6 image tiles from a single gastric biopsy slide · 300 × 300 pixels each · scanned at ×20 · H&E stain.
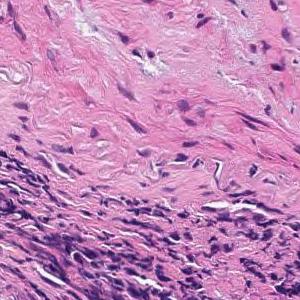
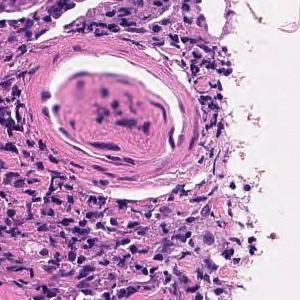
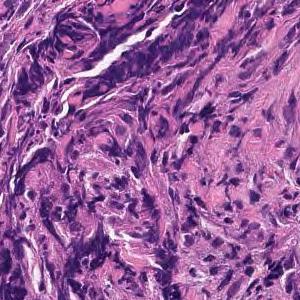
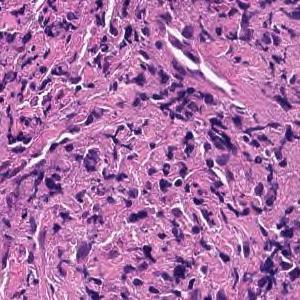
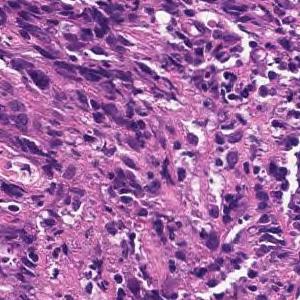
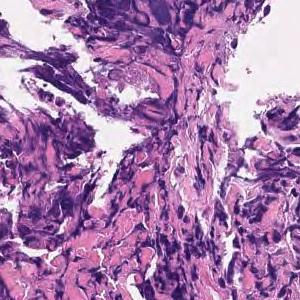
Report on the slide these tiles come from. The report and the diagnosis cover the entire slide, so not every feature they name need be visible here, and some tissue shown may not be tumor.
Tumor tissue consisting of medium-sized, cord-like or irregular glandular infiltration is observed in the superficial epithelium. Poorly differentiated adenocarcinoma, non-solid type or moderately differentiated tubular adenocarcinoma
Subtype: Moderately to poorly differentiated adenocarcinoma.
The non-solid type named here is a Japanese Classification of Gastric Carcinoma category.
